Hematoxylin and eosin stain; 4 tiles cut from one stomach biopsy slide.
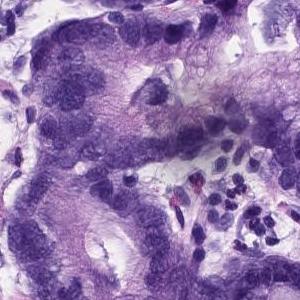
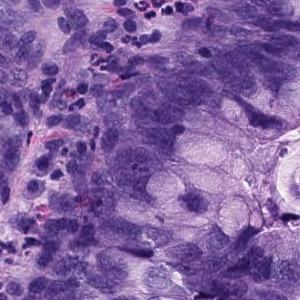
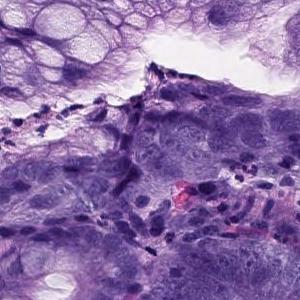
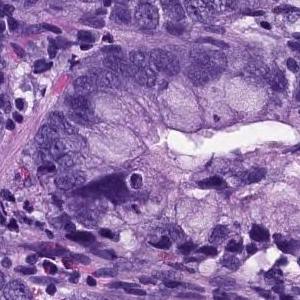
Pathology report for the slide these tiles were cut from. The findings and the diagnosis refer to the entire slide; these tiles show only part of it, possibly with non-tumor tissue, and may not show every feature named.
There are large atypical epithelial cells infiltrating and proliferating while forming atypical glandular cavities showing a fusion tendency. Moderately differentiated tubular adenocarcinoma.
